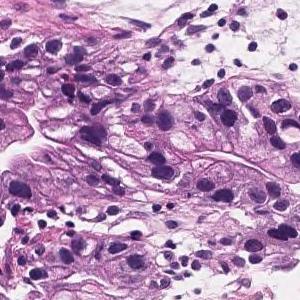
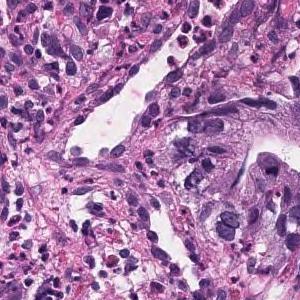
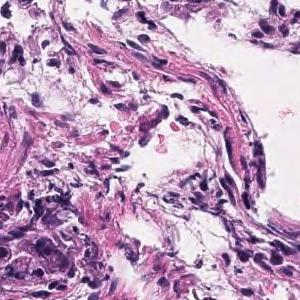
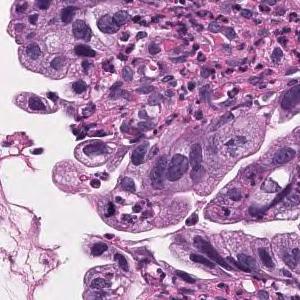
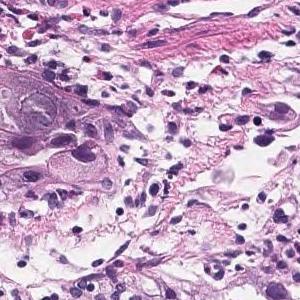
20× magnification; H&E stain; 5 patches cut from one gastric biopsy slide.
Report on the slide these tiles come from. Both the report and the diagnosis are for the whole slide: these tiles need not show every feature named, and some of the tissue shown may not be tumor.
Tumor cells are large, highly columnar, large club-shaped nuclei, and are associated with chromatin aggregation. Papillary adenocarcinoma.
